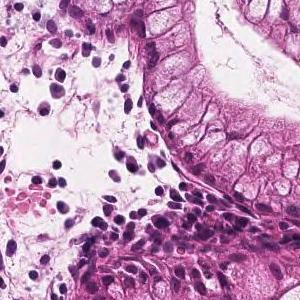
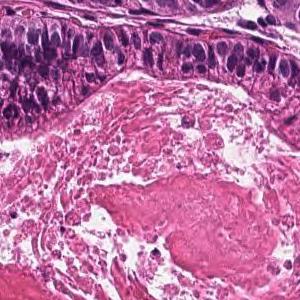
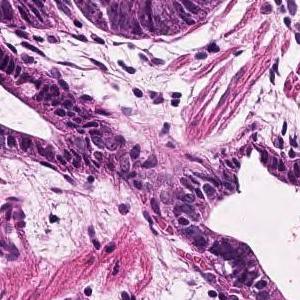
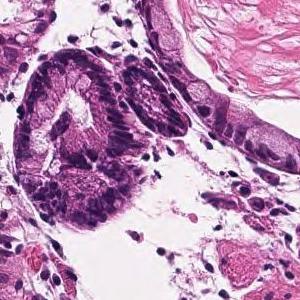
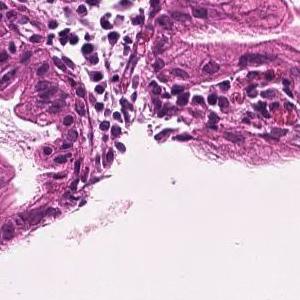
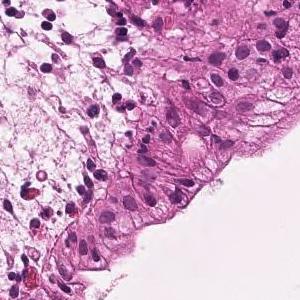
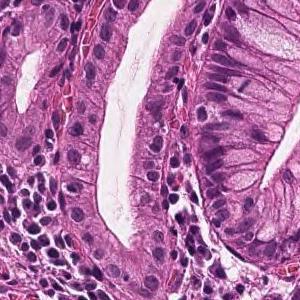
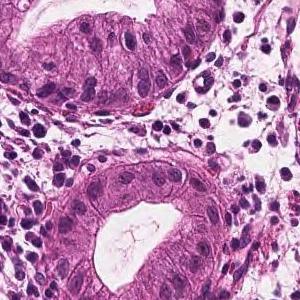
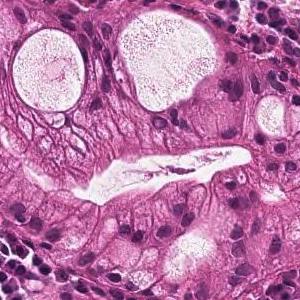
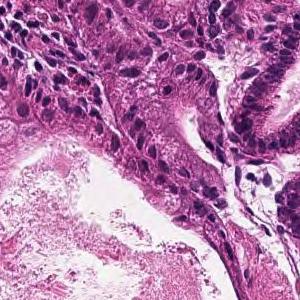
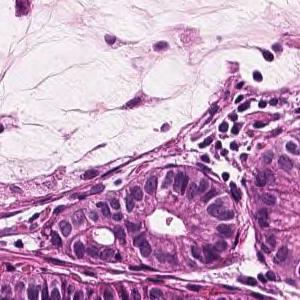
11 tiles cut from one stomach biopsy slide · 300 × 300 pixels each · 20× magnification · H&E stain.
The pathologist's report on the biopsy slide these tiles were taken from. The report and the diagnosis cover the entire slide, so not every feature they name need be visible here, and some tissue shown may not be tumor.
In the superficial epithelium, tumor tissue that invades by forming medium-sized to small, irregular ducts is observed. Well differentiated tubular adenocarcinoma.
